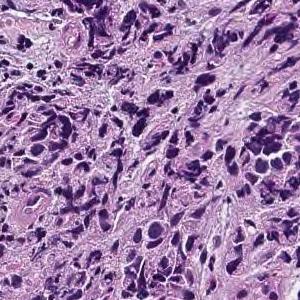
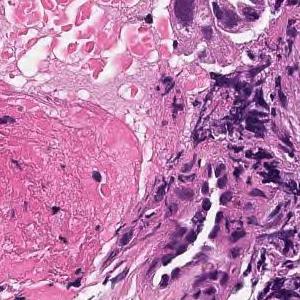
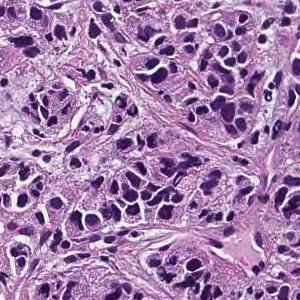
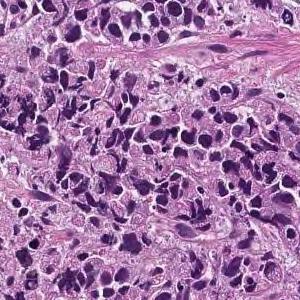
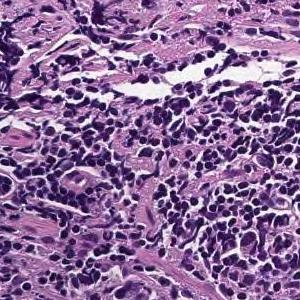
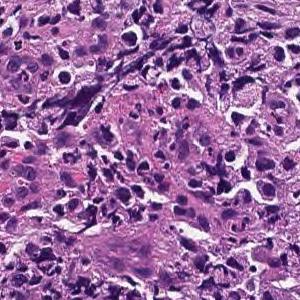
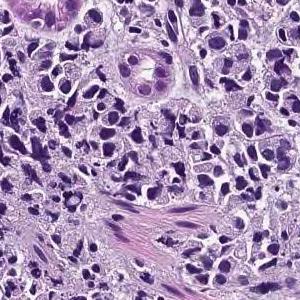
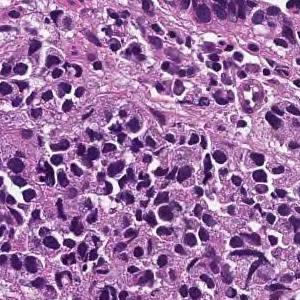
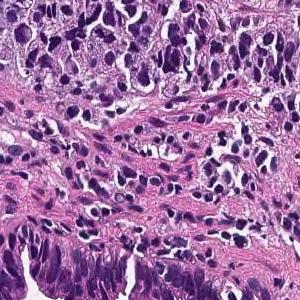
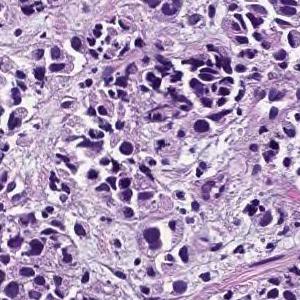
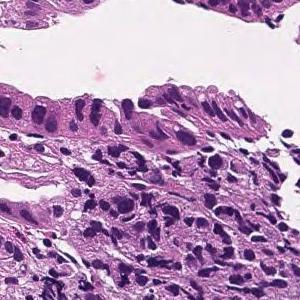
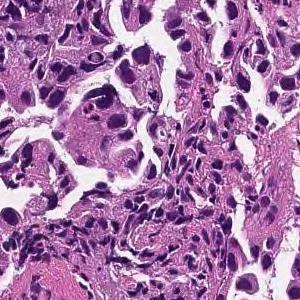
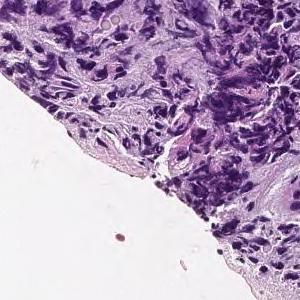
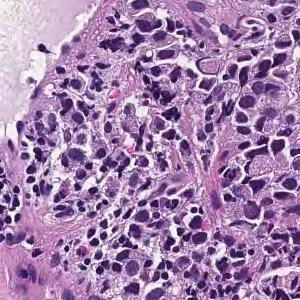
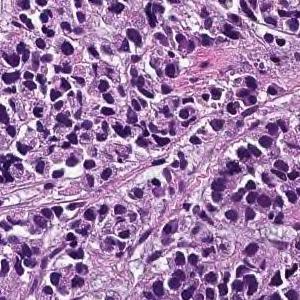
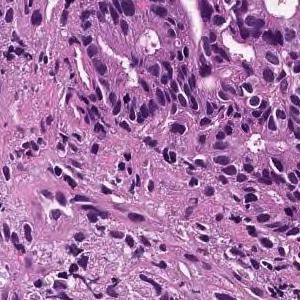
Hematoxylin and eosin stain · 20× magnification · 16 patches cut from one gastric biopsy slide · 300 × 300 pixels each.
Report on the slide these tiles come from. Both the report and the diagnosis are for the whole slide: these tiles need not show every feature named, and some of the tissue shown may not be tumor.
The lamina propria shows small cord-like tumor tissue that infiltrates with fibrosis and marked chronic inflammatory cell infiltration. Poorly differentiated adenocarcinoma, non-solid type
The non-solid type named here is a Japanese Classification of Gastric Carcinoma category.
